20× magnification, H&E, 8 tiles from the same stomach biopsy slide.
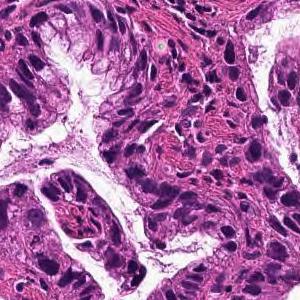
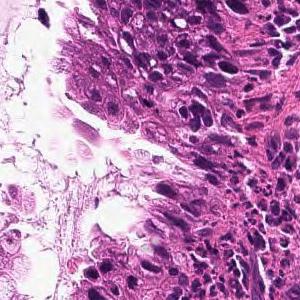
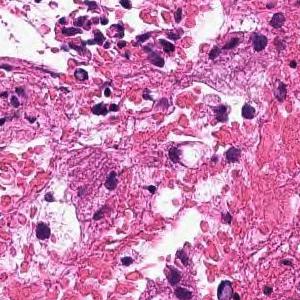
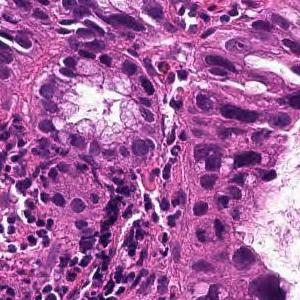
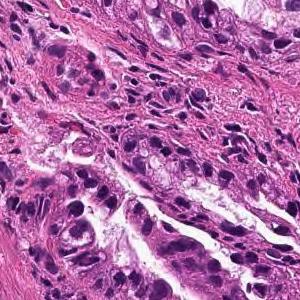
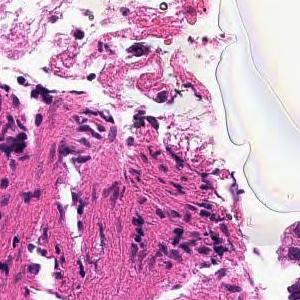
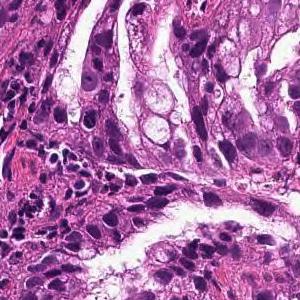
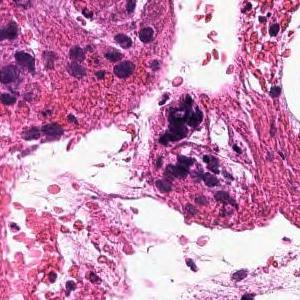
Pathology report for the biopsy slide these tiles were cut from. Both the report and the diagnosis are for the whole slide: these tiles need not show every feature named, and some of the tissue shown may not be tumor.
From the superficial epithelium to the muscularis mucosae, tumor tissue infiltrating by forming medium-sized irregular gland ducts is observed. Well differentiated tubular adenocarcinoma
